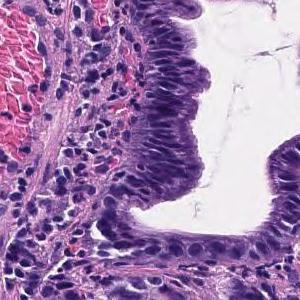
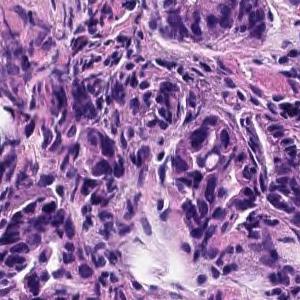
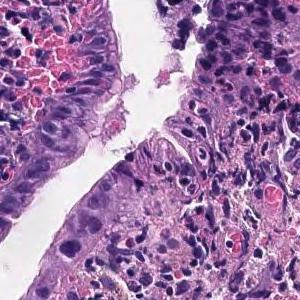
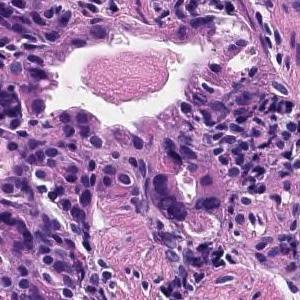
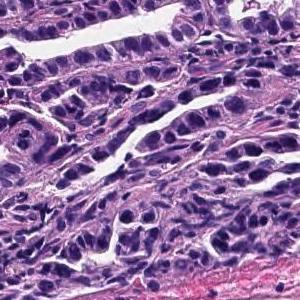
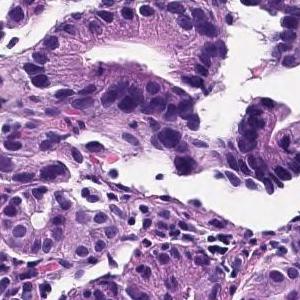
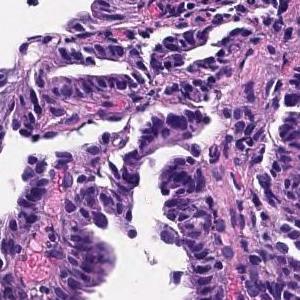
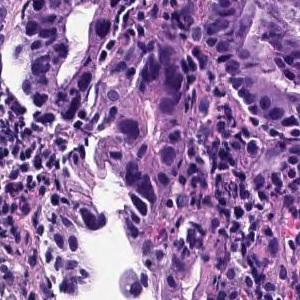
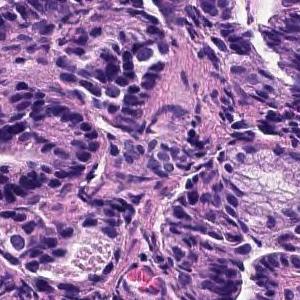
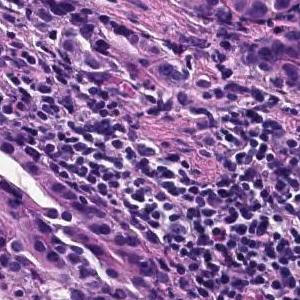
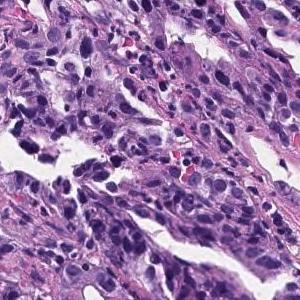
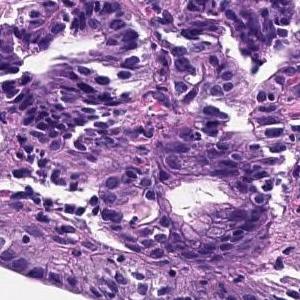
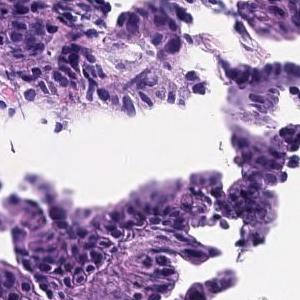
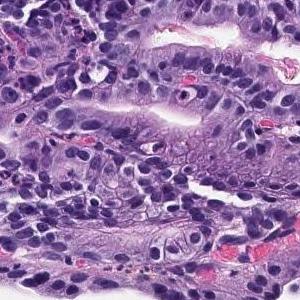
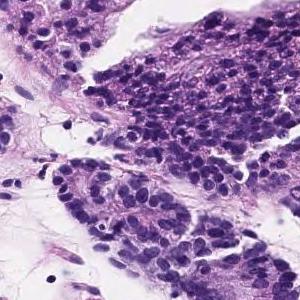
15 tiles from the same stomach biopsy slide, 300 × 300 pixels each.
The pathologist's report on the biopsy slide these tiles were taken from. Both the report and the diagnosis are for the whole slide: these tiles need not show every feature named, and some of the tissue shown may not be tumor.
The superficial tumors shows large papillary structures or large and small ducts and infiltrates. Papillary adenocarcinoma.
